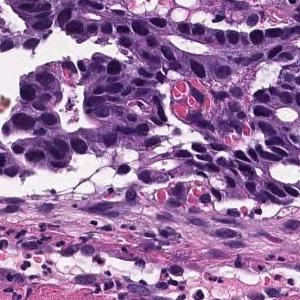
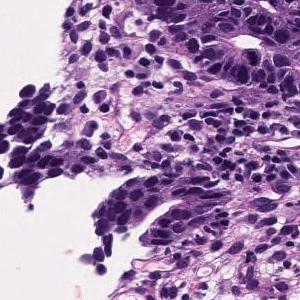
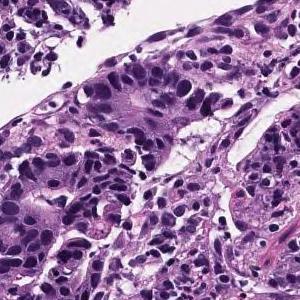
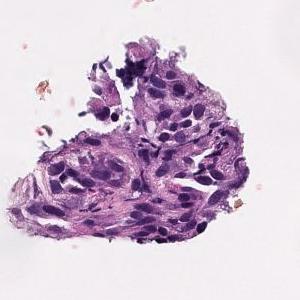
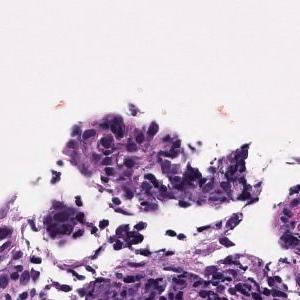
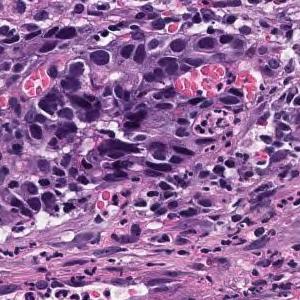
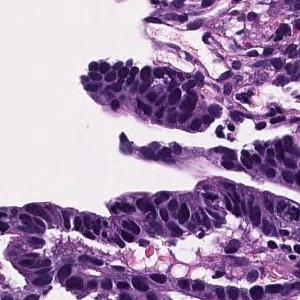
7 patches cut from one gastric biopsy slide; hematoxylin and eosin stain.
Report on the slide these tiles come from. What the report and the diagnosis say applies to the whole slide; these tiles may miss some of the features named and may include tissue that is not tumor.
Atypical ducts proliferating with obscure duct construction and solid sequences is observed. Moderately differentiated adenocarcinoma.
Tumor subtype: moderately differentiated tubular adenocarcinoma.
